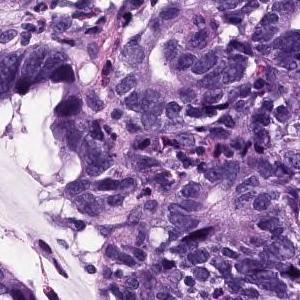
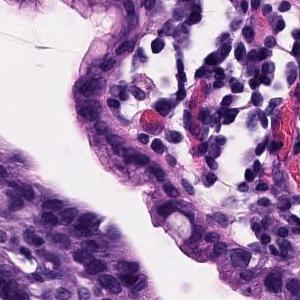
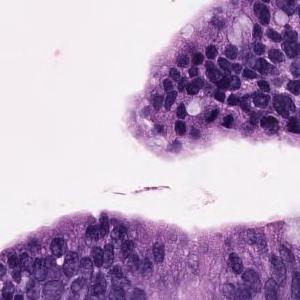
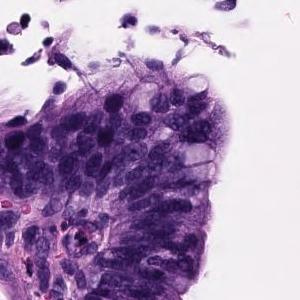
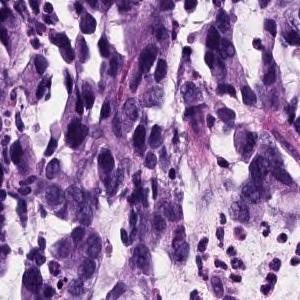
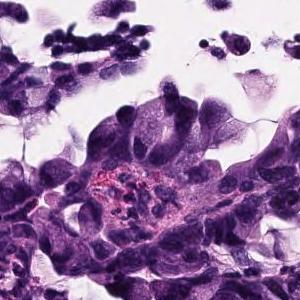
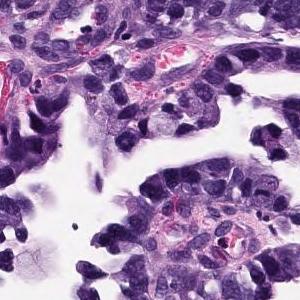
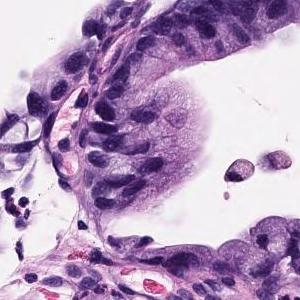
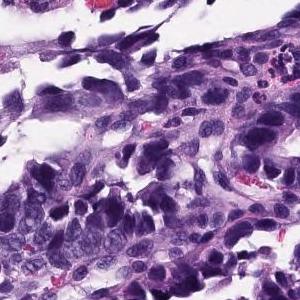
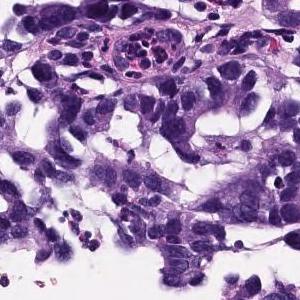
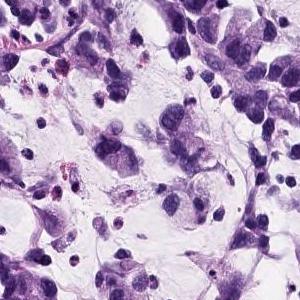
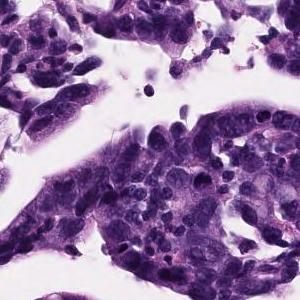
Scanned at ×20 · H&E · 12 patches cut from one gastric biopsy slide · each 300 × 300 pixels.
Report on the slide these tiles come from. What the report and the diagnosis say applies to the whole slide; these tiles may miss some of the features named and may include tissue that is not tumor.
Atypical epithelium proliferating showing villus construction and irregular gland duct construction is observed. Moderately differentiated tubular adenocarcinoma.
